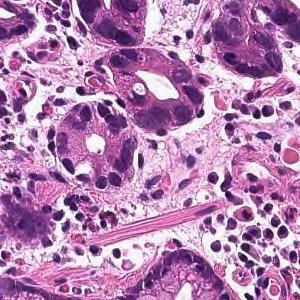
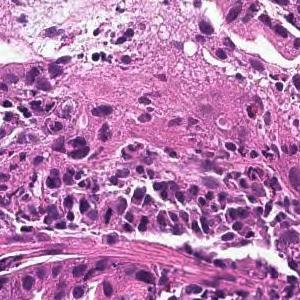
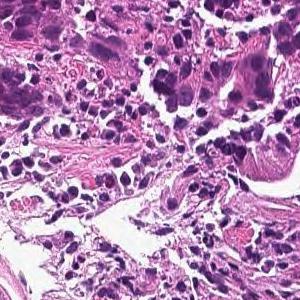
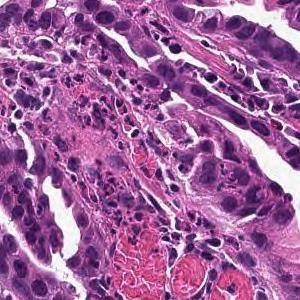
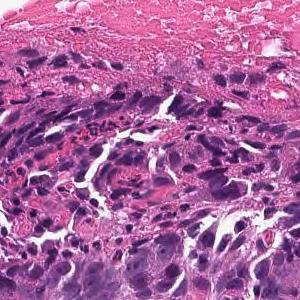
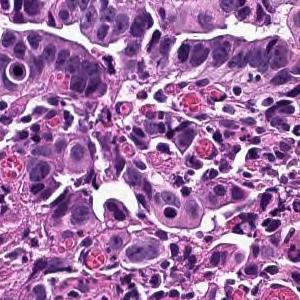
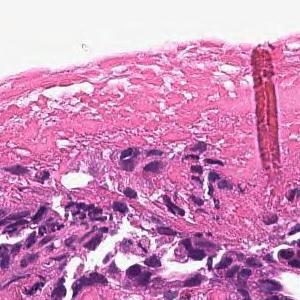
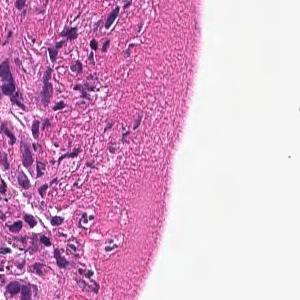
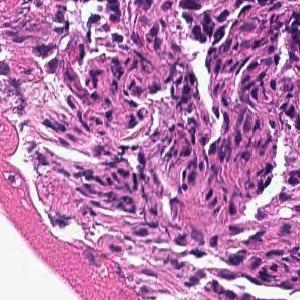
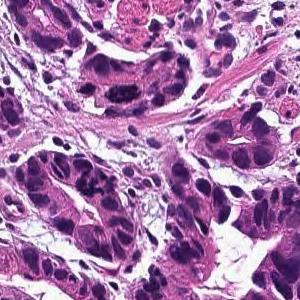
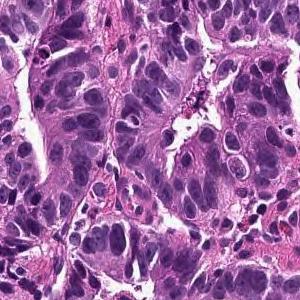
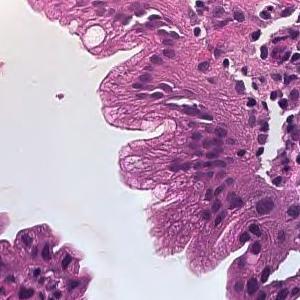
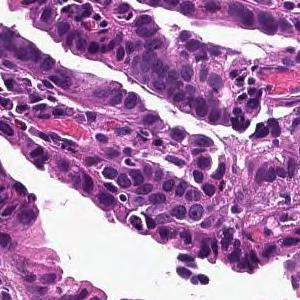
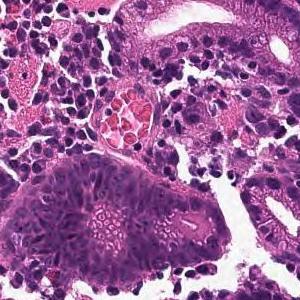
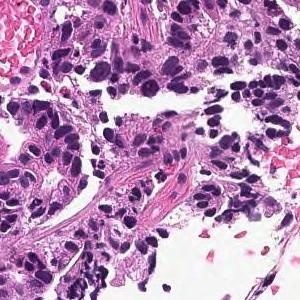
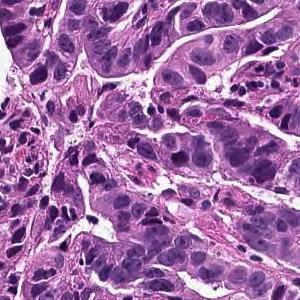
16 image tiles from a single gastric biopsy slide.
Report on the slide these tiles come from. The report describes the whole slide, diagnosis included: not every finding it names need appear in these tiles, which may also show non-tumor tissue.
On the superficial epithelium, tumor tissue consisting of large, irregular glandular ducts partially fused and infiltrated is observed. Well to moderately differentiated tubular adenocarcinoma (well differentiated tubular adenocarcinoma, moderately differentiated tubular adenocarcinoma)
Classified as well to moderately differentiated tubular adenocarcinoma.
